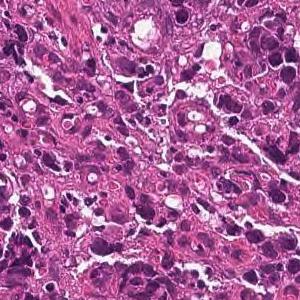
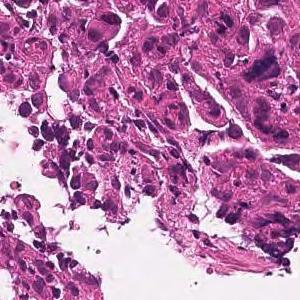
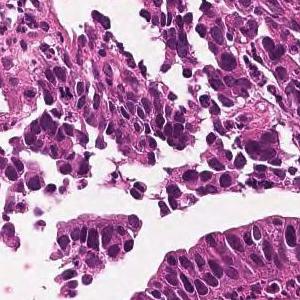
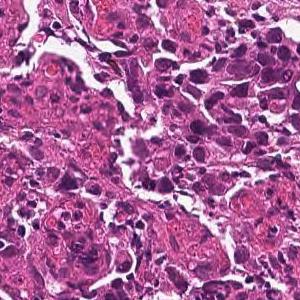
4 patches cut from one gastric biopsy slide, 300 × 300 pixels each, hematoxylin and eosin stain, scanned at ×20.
Diagnostic report for the slide these tiles come from. The report describes the whole slide, diagnosis included: not every finding it names need appear in these tiles, which may also show non-tumor tissue.
Tumor tissue consisting of medium-sized, cord-like or irregular glandular infiltration is observed in the superficial epithelium. Poorly differentiated adenocarcinoma, non-solid type or moderately differentiated tubular adenocarcinoma
Tumor subtype: moderately to poorly differentiated adenocarcinoma.
The non-solid type named here is a Japanese Classification of Gastric Carcinoma category.
